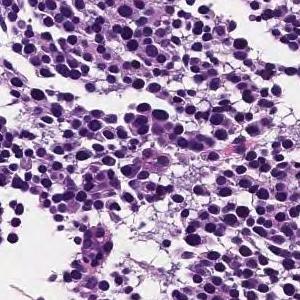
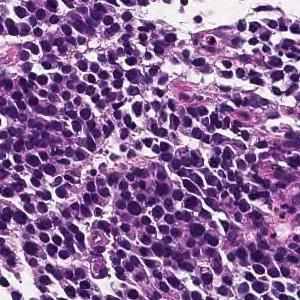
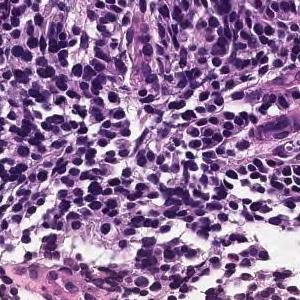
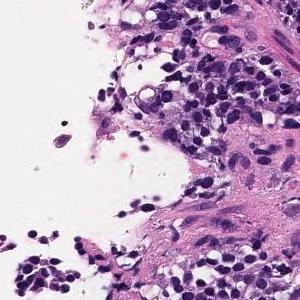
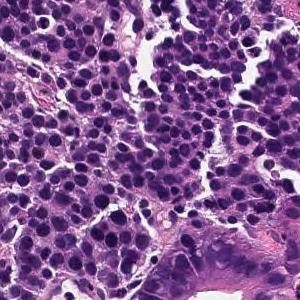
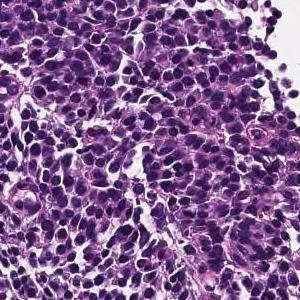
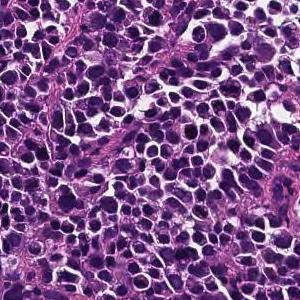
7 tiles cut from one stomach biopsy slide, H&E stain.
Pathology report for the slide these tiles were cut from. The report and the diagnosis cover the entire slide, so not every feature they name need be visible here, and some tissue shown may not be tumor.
Large sheet-like or diffusely infiltrating tumor tissue is found in the superficial epithelium. Poorly differentiated adenocarcinoma, solid-type
Classified as poorly differentiated adenocarcinoma, solid type. This name comes from the Japanese Classification of Gastric Carcinoma; the WHO 2019 classification calls it tubular adenocarcinoma, poorly differentiated.
